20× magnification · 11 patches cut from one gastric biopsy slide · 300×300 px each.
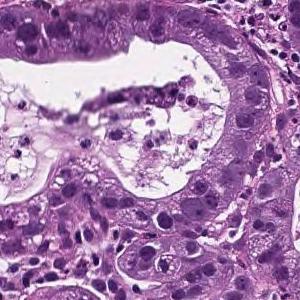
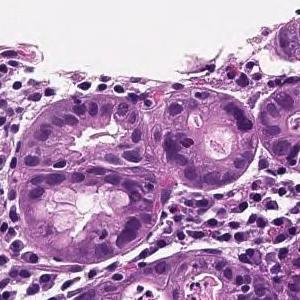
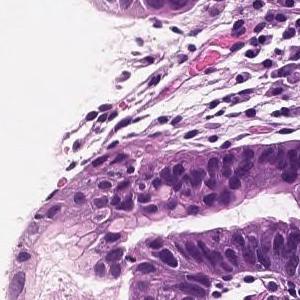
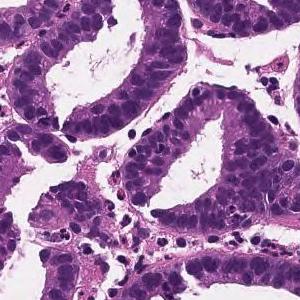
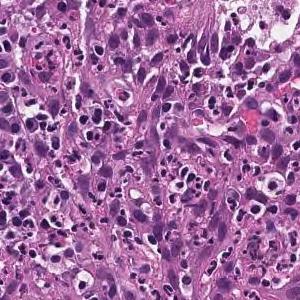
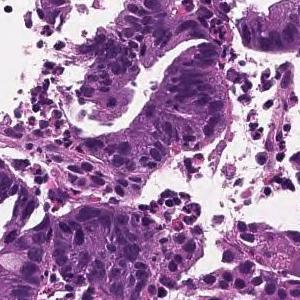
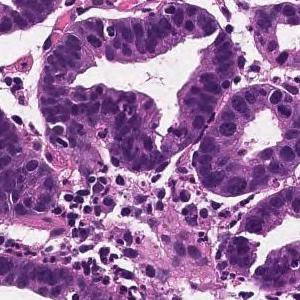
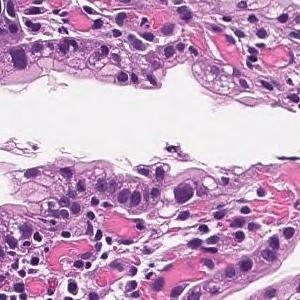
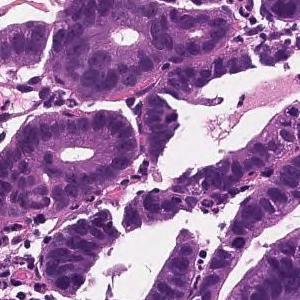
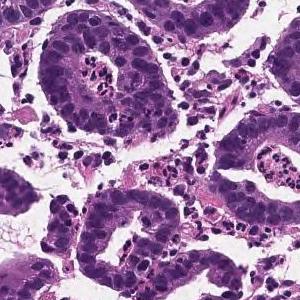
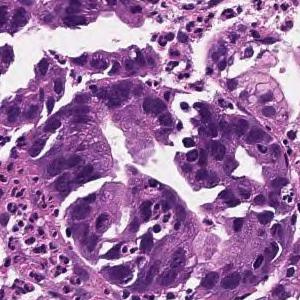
Diagnostic report for the slide these tiles come from. The findings and the diagnosis refer to the entire slide; these tiles show only part of it, possibly with non-tumor tissue, and may not show every feature named.
On the superficial epithelium, tumor tissue consisting of medium-sized irregular or small round gland ducts showing a small cord-like shape and infiltrating is observed. Well differentiated tubular adenocarcinoma or Poorly differentiated adenocarcinoma, non-solid type
Dataset label: well differentiated tubular adenocarcinoma.
The term "non-solid type" comes from the Japanese Classification of Gastric Carcinoma.
